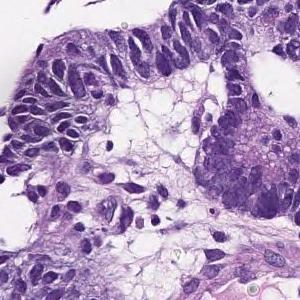
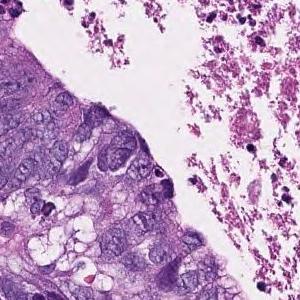
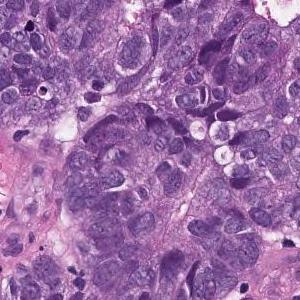
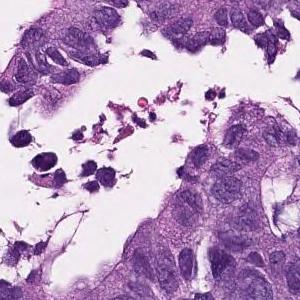
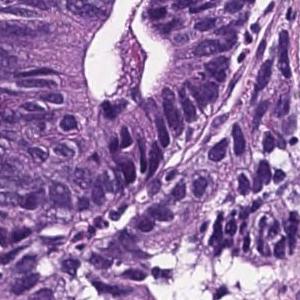
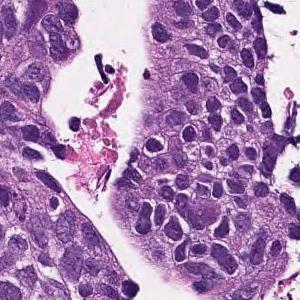
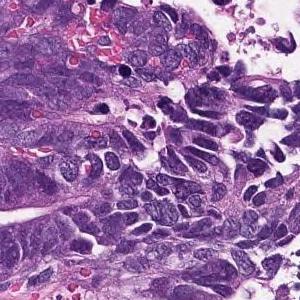
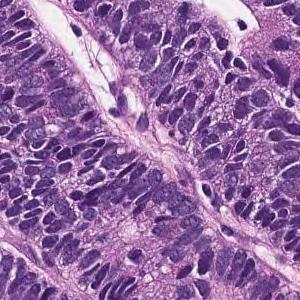
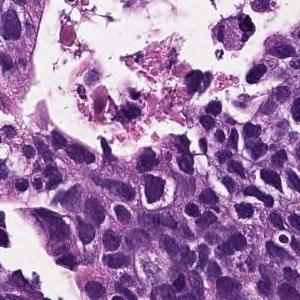
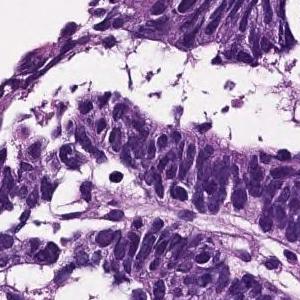
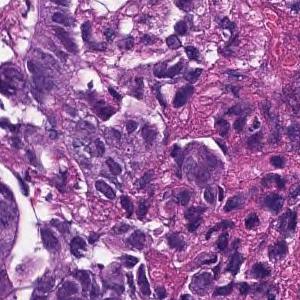
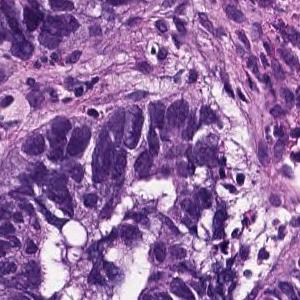
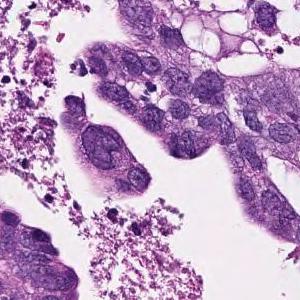
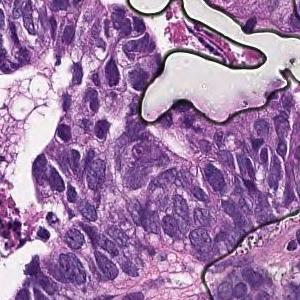
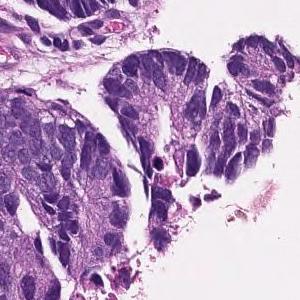
Scanned at ×20 · H&E stain · 15 patches cut from one gastric biopsy slide.
Report on the slide these tiles come from. The report and the diagnosis cover the entire slide, so not every feature they name need be visible here, and some tissue shown may not be tumor.
In the superficial epithelium, tumor tissue that invades by forming medium-sized to small, irregular ducts is observed. moderately differentiated tubular adenocarcinoma.
